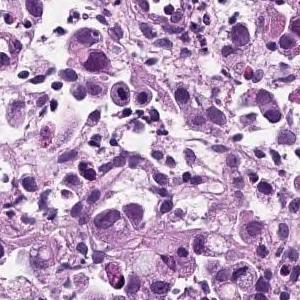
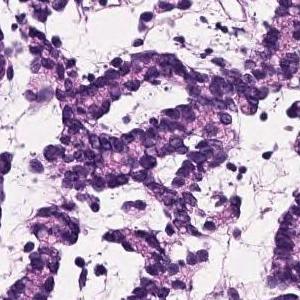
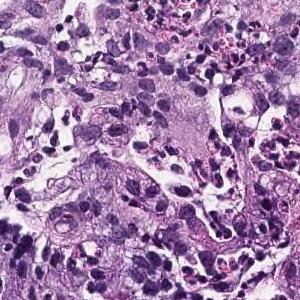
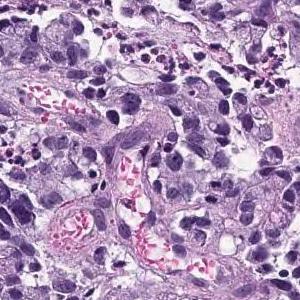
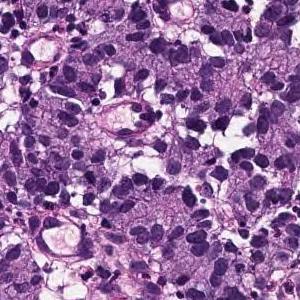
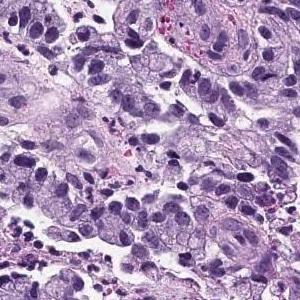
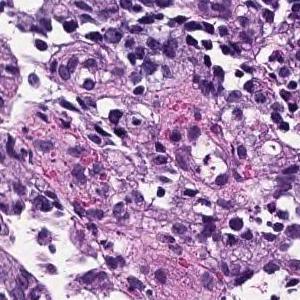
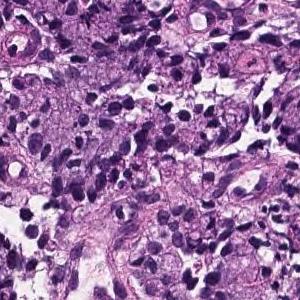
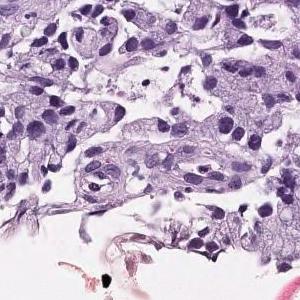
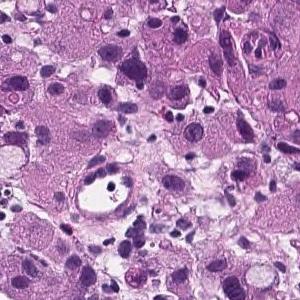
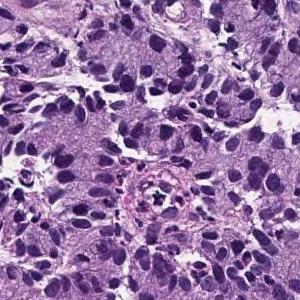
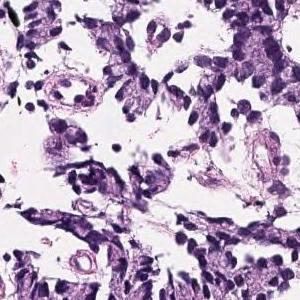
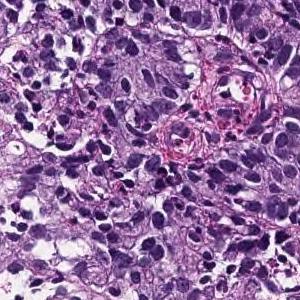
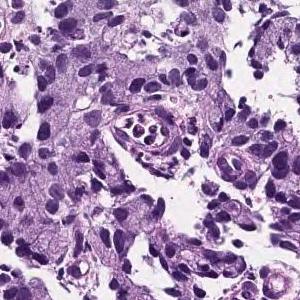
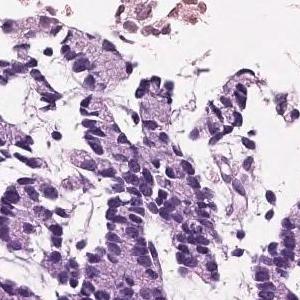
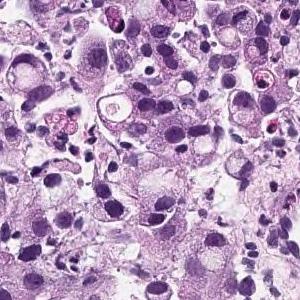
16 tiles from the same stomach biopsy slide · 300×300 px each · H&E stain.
Diagnostic report for the slide these tiles come from. Both the report and the diagnosis are for the whole slide: these tiles need not show every feature named, and some of the tissue shown may not be tumor.
Tumor tissue infiltrated by irregular fusion of small cord-like structures is found in the superficial epithelium. Poorly differentiated adenocarcinoma, non-solid type
The term "non-solid type" comes from the Japanese Classification of Gastric Carcinoma.
